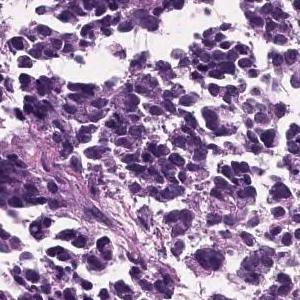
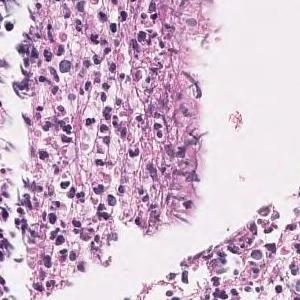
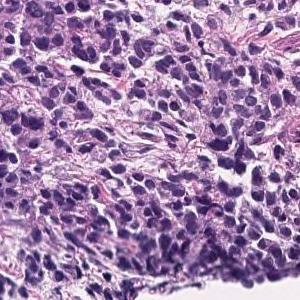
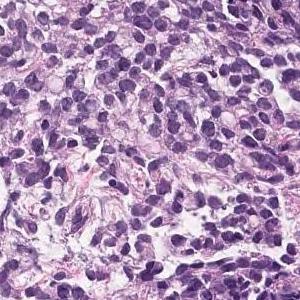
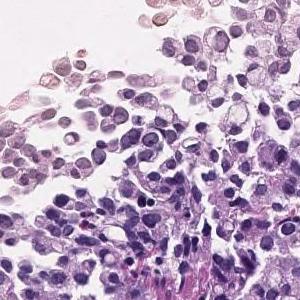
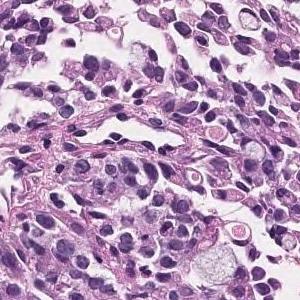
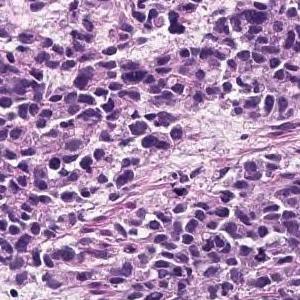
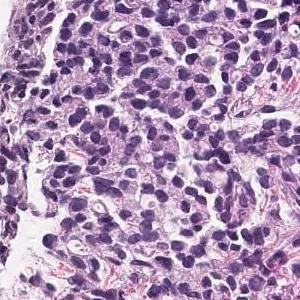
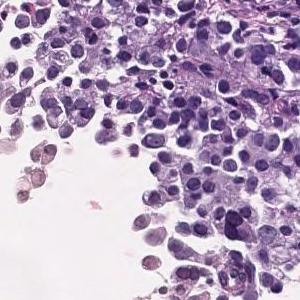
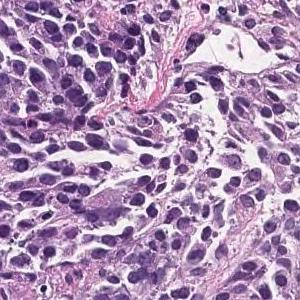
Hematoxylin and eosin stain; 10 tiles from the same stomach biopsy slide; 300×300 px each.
Pathology report for the slide these tiles were cut from. The report describes the whole slide, diagnosis included: not every finding it names need appear in these tiles, which may also show non-tumor tissue.
The superficial epithelium shows a large sheet-like shape, and some tumor tissue infiltrates with small irregular ducts. Poorly differentiated adenocarcinoma, solid-type
Histological subtype: Poorly differentiated adenocarcinoma, solid type. This name comes from the Japanese Classification of Gastric Carcinoma; the WHO 2019 classification calls it tubular adenocarcinoma, poorly differentiated.
